×20 · 15 tiles cut from one stomach biopsy slide · 300×300 px each.
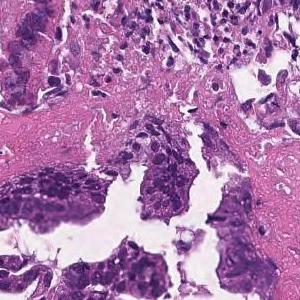
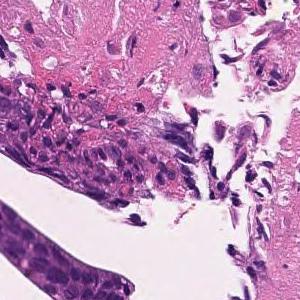
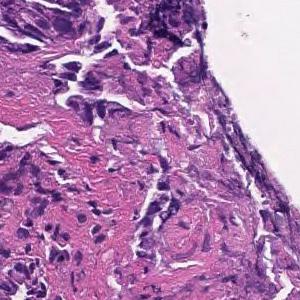
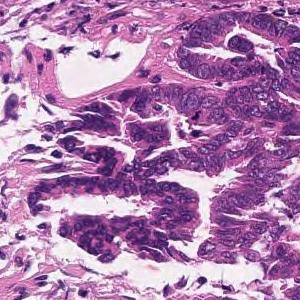
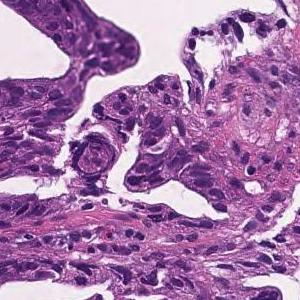
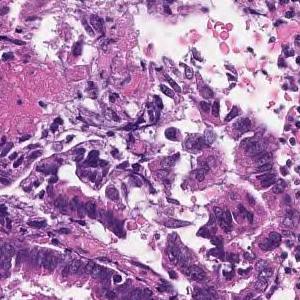
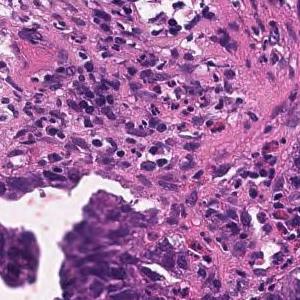
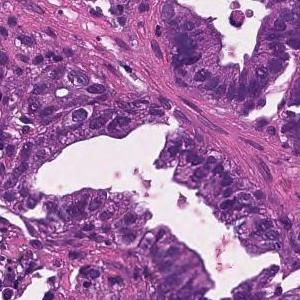
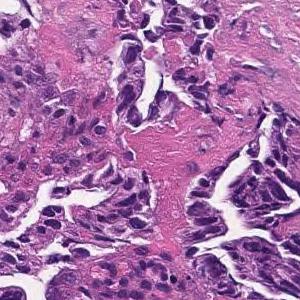
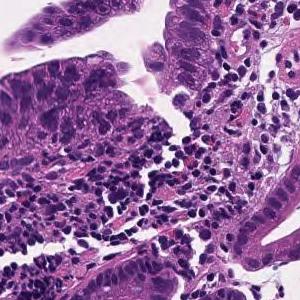
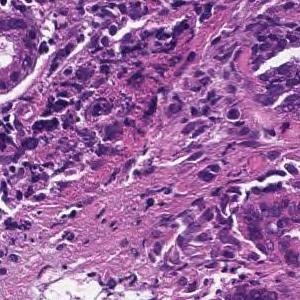
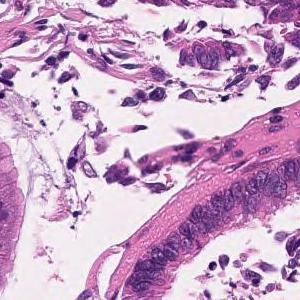
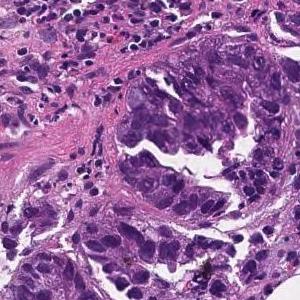
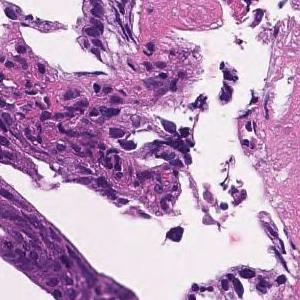
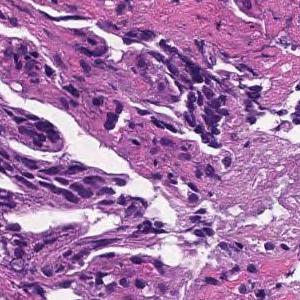
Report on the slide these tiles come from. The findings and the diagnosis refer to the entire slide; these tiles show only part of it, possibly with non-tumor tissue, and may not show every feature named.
On the superficial epithelium, tumor tissue consisting of large, irregular glandular ducts partially fused and infiltrated is observed. Well to moderately differentiated tubular adenocarcinoma (well differentiated tubular adenocarcinoma, moderately differentiated tubular adenocarcinoma)
Tumor subtype: well to moderately differentiated tubular adenocarcinoma.
